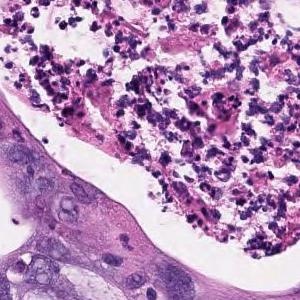
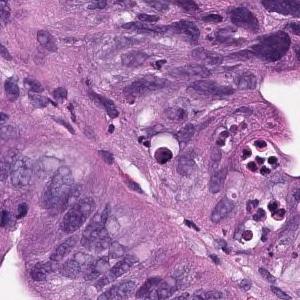
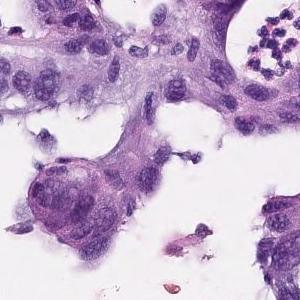
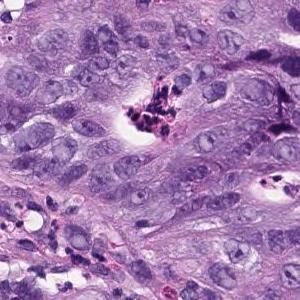
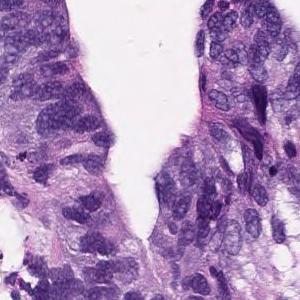
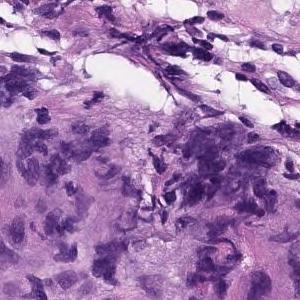
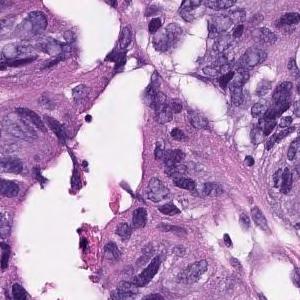
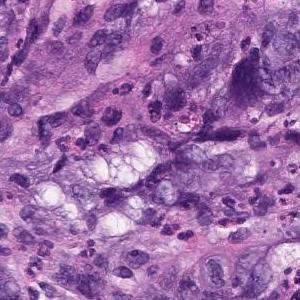
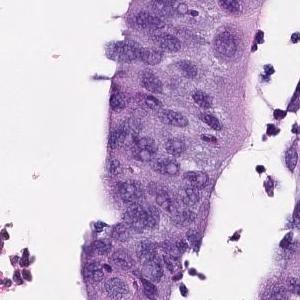
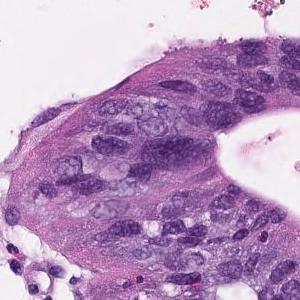
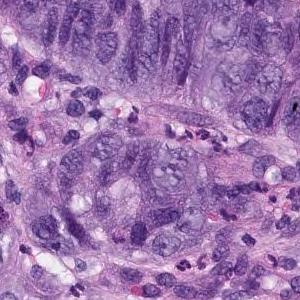
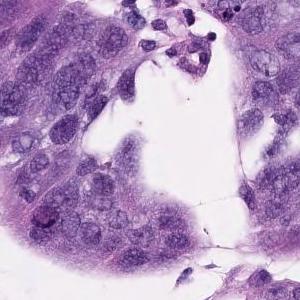
H&E, 12 tiles from the same stomach biopsy slide.
Pathology report for the slide these tiles were cut from. What the report and the diagnosis say applies to the whole slide; these tiles may miss some of the features named and may include tissue that is not tumor.
In the superficial epithelium, tumor tissue that invades by forming medium-sized to small, irregular ducts is observed. Moderately differentiated adenocarcinoma.
Histologic type: Moderately differentiated tubular adenocarcinoma.
